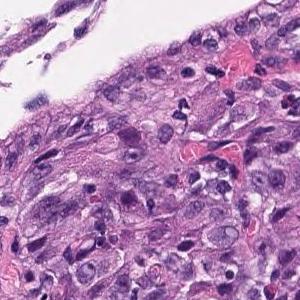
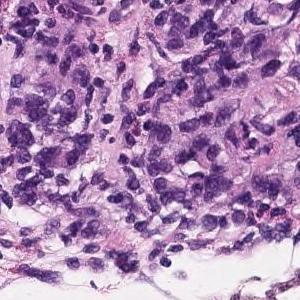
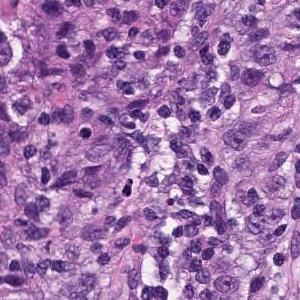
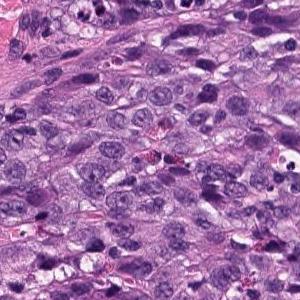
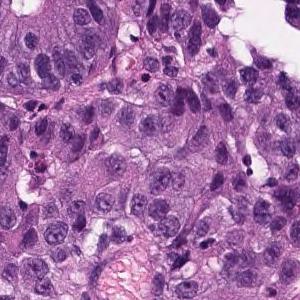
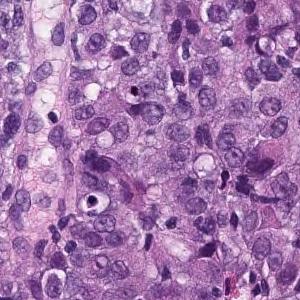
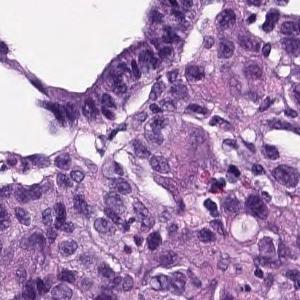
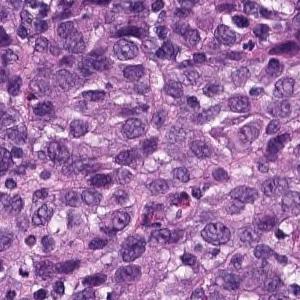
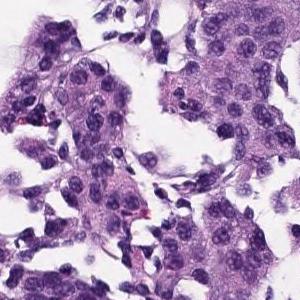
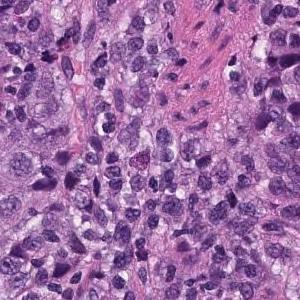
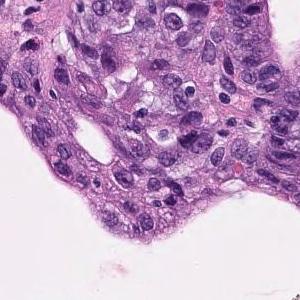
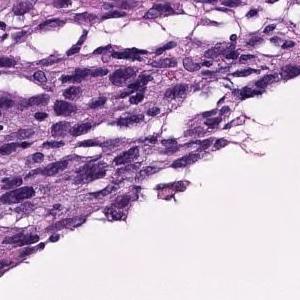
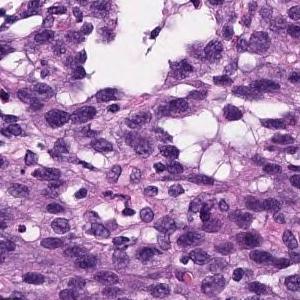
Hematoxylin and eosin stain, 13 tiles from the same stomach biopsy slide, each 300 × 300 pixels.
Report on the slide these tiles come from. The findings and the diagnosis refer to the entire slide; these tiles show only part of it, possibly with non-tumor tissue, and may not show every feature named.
In the superficial epithelium, tumor tissue that invades by forming medium-sized to small, irregular ducts is observed. Moderately differentiated adenocarcinoma.
Histologic type: Moderately differentiated tubular adenocarcinoma.
